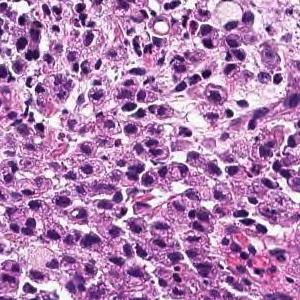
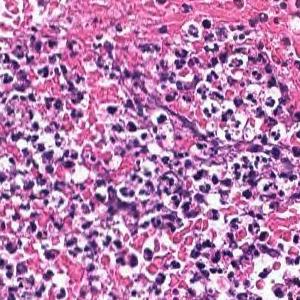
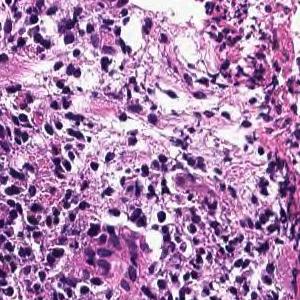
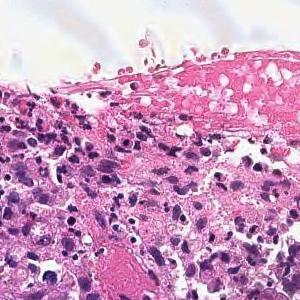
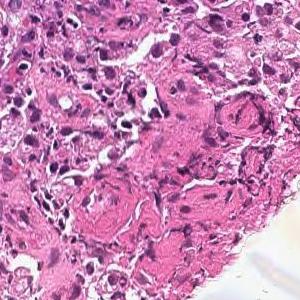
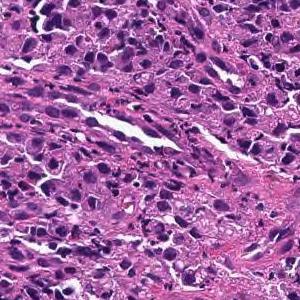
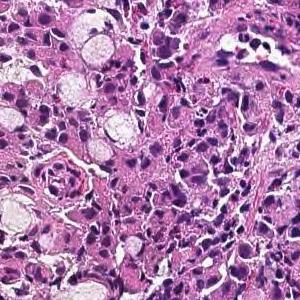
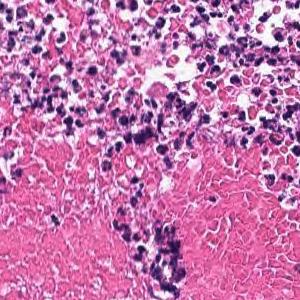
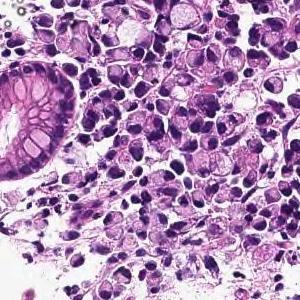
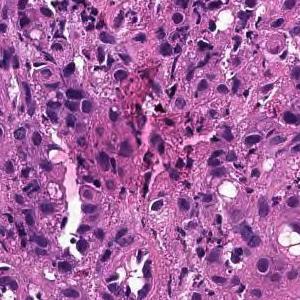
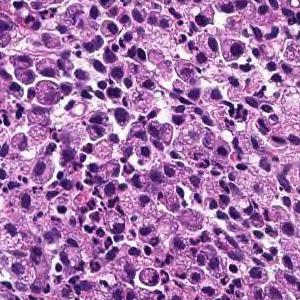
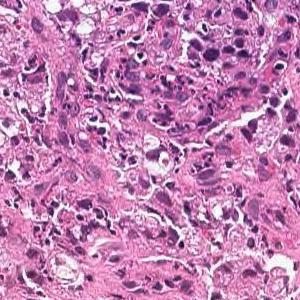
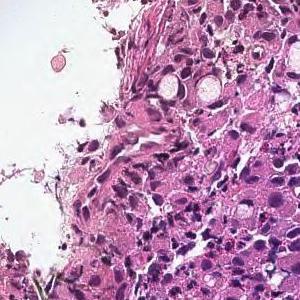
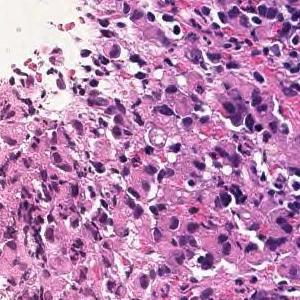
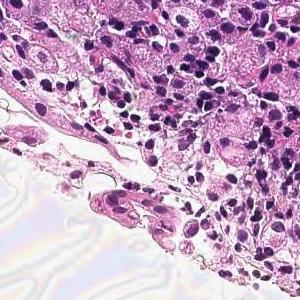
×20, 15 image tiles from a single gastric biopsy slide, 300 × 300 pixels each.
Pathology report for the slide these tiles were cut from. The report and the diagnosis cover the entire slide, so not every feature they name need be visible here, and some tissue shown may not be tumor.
Tumor tissue consisting of diffusely infiltrated large atypical epithelial cells or signet ring atypical cells is observed in the superficial epithelium. Poorly differentiated adenocarcinoma, solid-type
Histologic type: Poorly differentiated adenocarcinoma, solid type. This name comes from the Japanese Classification of Gastric Carcinoma; the WHO 2019 classification calls it tubular adenocarcinoma, poorly differentiated.
